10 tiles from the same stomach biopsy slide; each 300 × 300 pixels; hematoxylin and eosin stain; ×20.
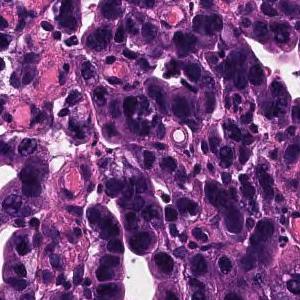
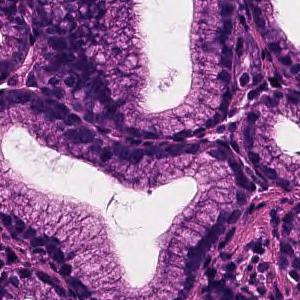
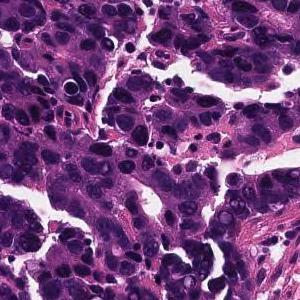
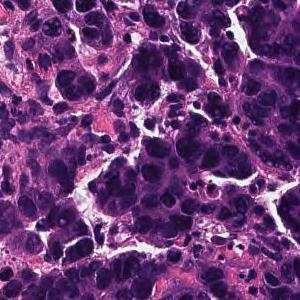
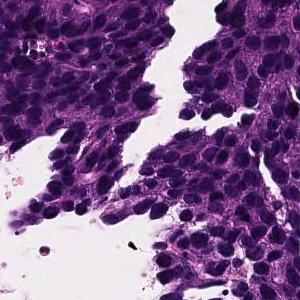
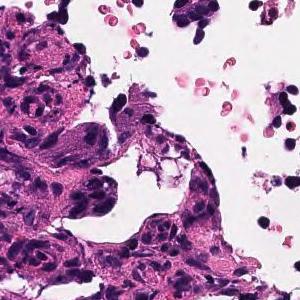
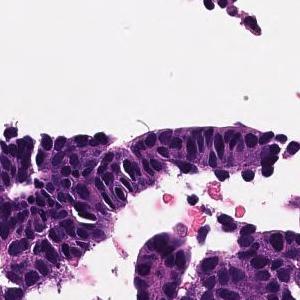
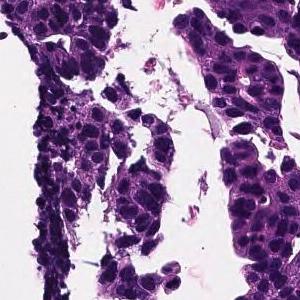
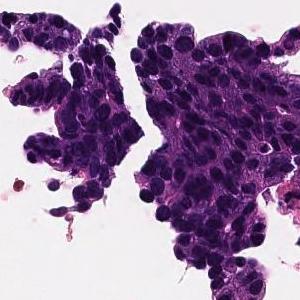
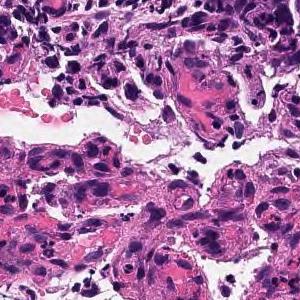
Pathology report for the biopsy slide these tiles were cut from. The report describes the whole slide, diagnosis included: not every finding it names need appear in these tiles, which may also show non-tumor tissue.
In the superficial epithelium, tumor tissue that invades by forming medium-sized to small, irregular ducts is observed. moderately differentiated tubular adenocarcinoma.
